6 tiles cut from one stomach biopsy slide; 300 × 300 pixels each.
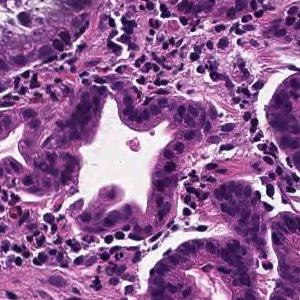
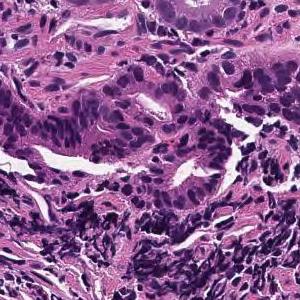
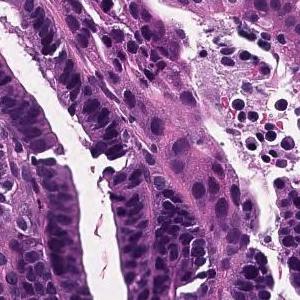
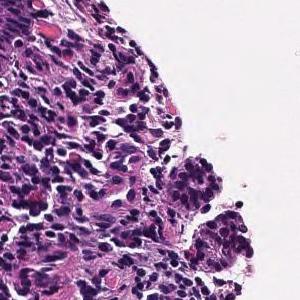
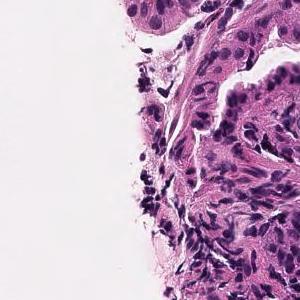
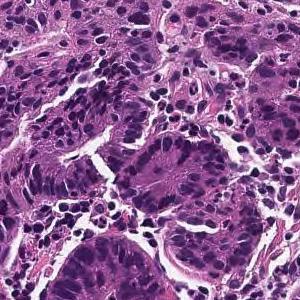
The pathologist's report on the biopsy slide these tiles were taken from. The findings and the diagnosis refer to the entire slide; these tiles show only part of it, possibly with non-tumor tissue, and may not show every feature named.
From the superficial epithelium to the muscularis mucosae, tumor tissue that invades by forming medium-sized to small irregular gland ducts is observed. Well differentiated tubular adenocarcinoma (well differentiated tubular adenocarcinoma)
Histologic type: Well differentiated tubular adenocarcinoma.
